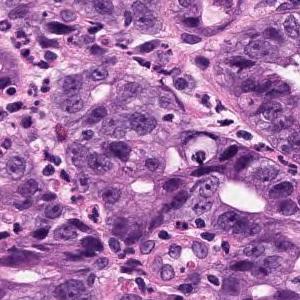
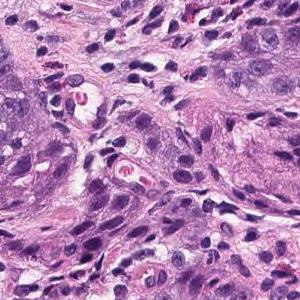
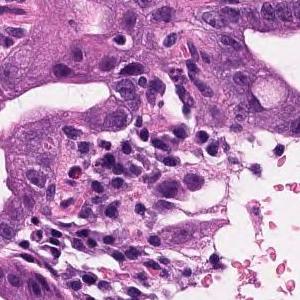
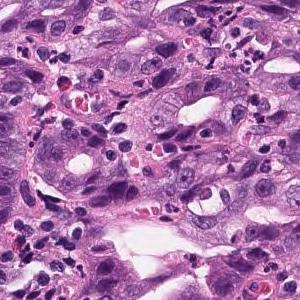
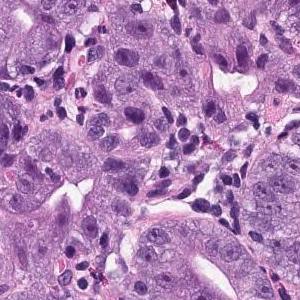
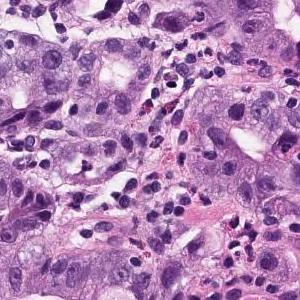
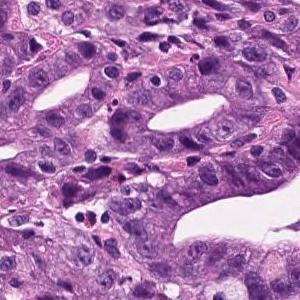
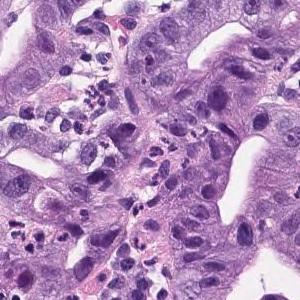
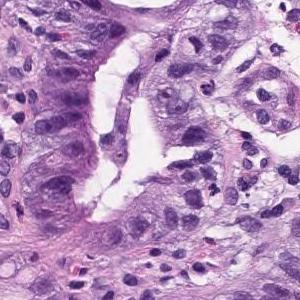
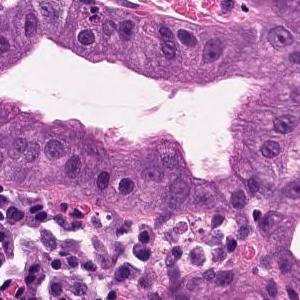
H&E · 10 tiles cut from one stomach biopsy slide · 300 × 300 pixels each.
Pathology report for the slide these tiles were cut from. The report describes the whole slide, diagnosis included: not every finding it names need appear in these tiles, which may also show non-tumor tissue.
In the superficial epithelium, tumor tissue that invades by forming medium-sized to small, irregular ducts is observed. Well to moderately differentiated adenocarcinoma (well differentiated tubular adenocarcinoma, moderately differentiated tubular adenocarcinoma).
Tumor subtype: well to moderately differentiated tubular adenocarcinoma.
